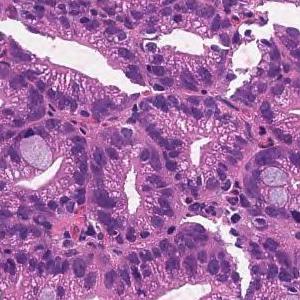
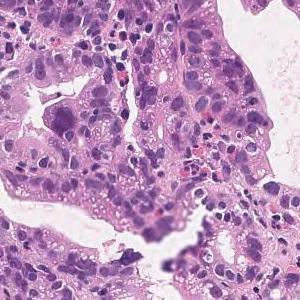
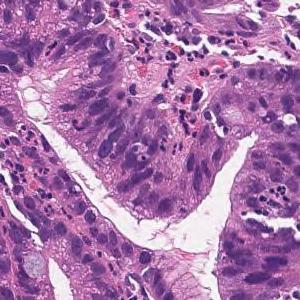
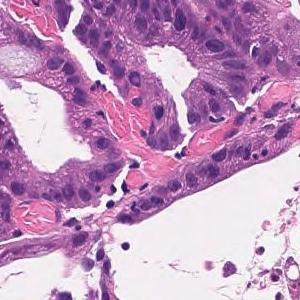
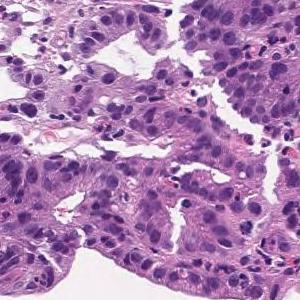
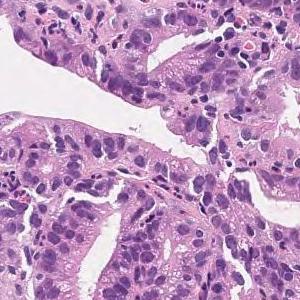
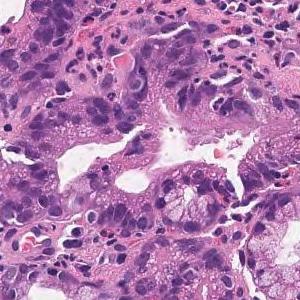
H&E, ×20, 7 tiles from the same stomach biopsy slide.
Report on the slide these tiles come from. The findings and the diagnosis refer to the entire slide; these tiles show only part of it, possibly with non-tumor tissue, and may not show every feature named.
On the superficial epithelium, tumor tissue that infiltrates by forming medium-sized papillary or small irregular ducts is observed. Papillary adenocarcinoma
